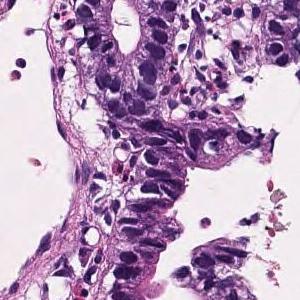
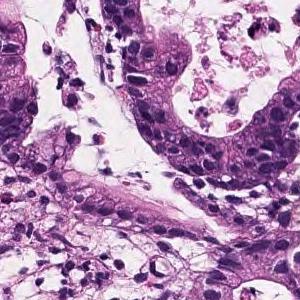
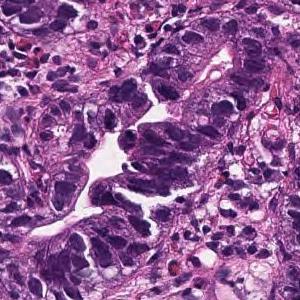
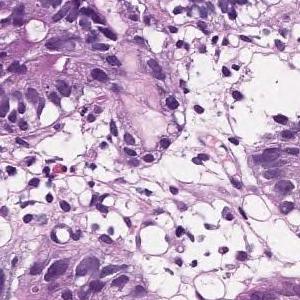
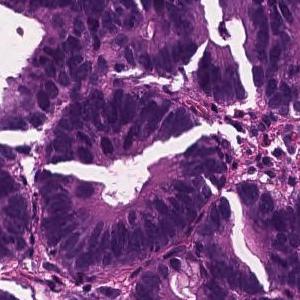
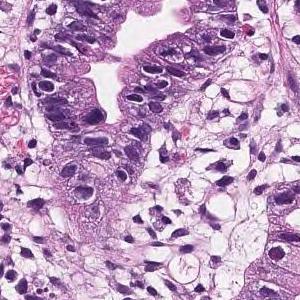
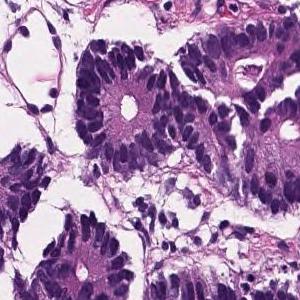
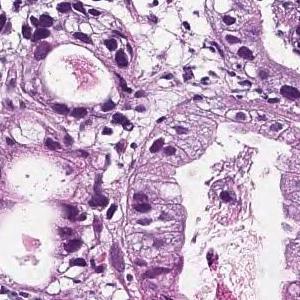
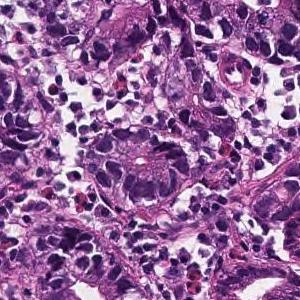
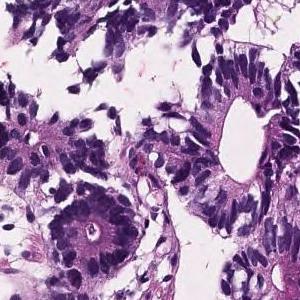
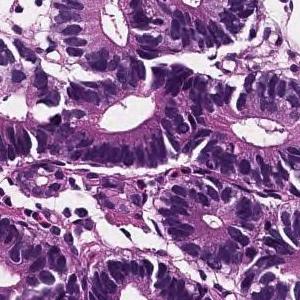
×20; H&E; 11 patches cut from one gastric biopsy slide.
Pathology report for the slide these tiles were cut from. The report and the diagnosis describe the slide as a whole, so these tiles may not show every feature named and may include non-tumor tissue.
On the superficial epithelium, tumor tissue consisting of large, irregular glandular ducts partially fused and infiltrated is observed. Well to moderately differentiated tubular adenocarcinoma (well differentiated tubular adenocarcinoma, moderately differentiated tubular adenocarcinoma)
Histologic type: Well to moderately differentiated tubular adenocarcinoma.
